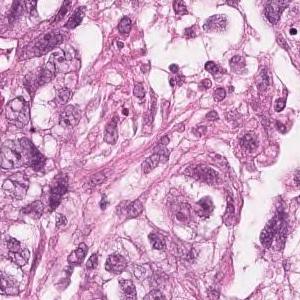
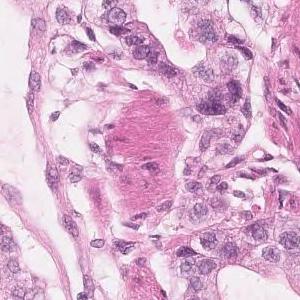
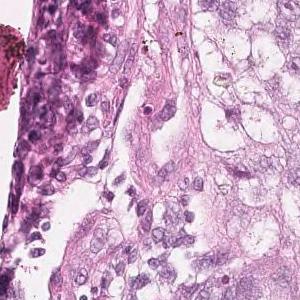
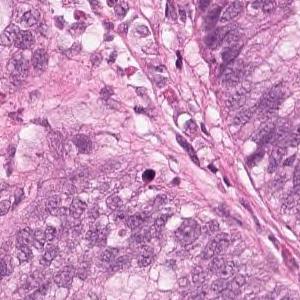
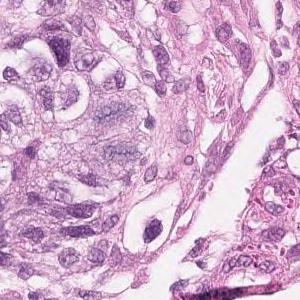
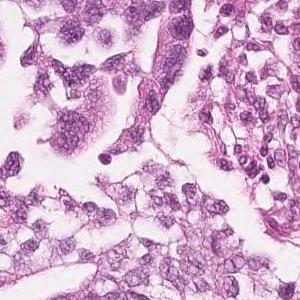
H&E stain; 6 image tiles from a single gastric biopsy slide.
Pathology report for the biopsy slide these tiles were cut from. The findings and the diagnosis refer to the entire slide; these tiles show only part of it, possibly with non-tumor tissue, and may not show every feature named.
Highly columnar epithelium with disordered nuclear localization proliferates showing fusion ductal construction. moderately differentiated tubular adenocarcinoma
